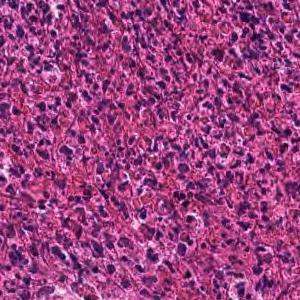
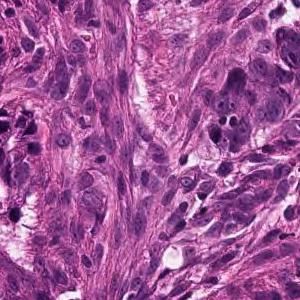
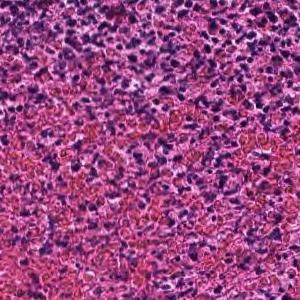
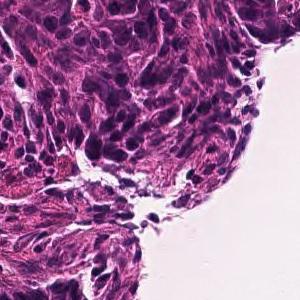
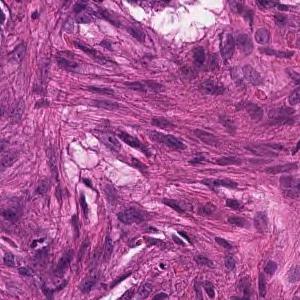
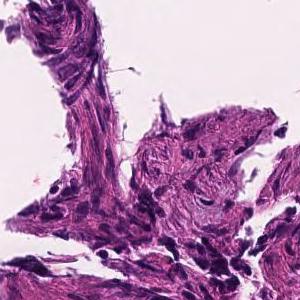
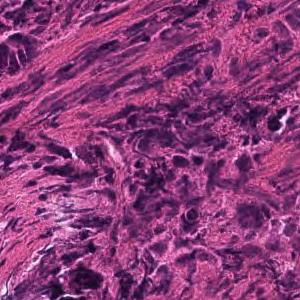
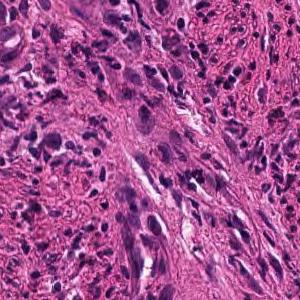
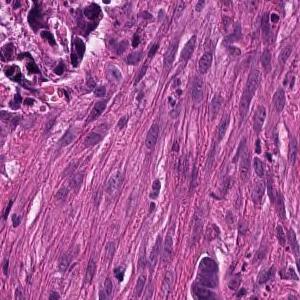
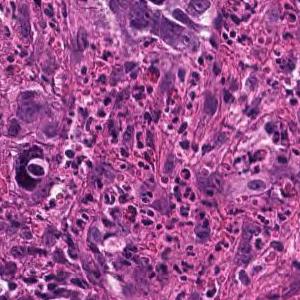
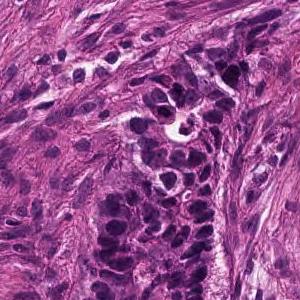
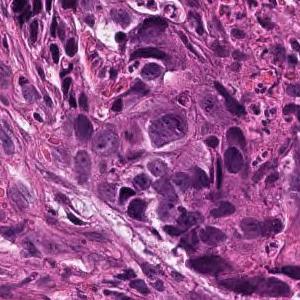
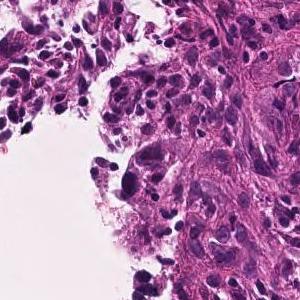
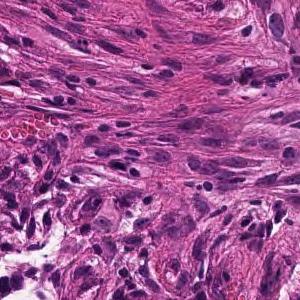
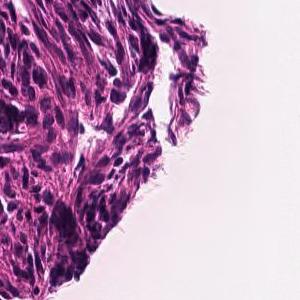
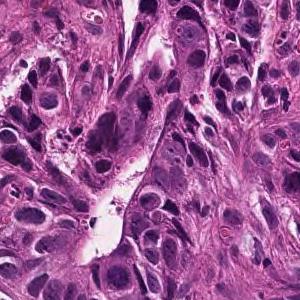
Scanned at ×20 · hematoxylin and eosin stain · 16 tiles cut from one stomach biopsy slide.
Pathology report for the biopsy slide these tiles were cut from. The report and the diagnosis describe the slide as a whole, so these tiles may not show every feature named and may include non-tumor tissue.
In the superficial epithelium, tumor tissue that invades by forming medium-sized to small, irregular ducts is observed. moderately differentiated tubular adenocarcinoma.
